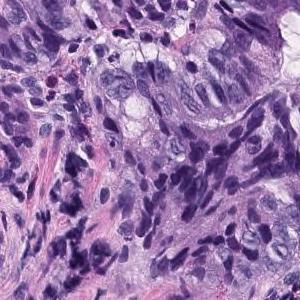
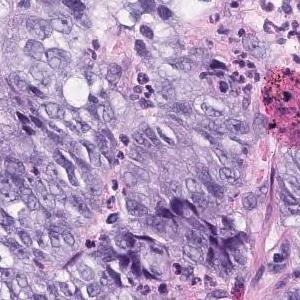
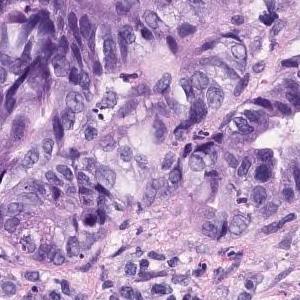
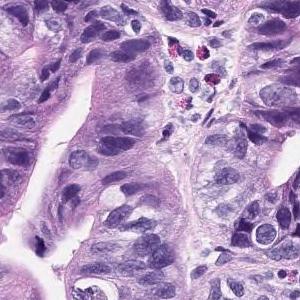
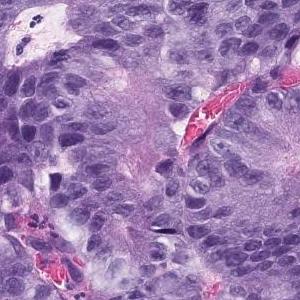
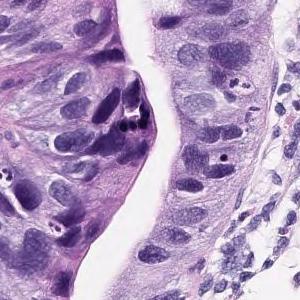
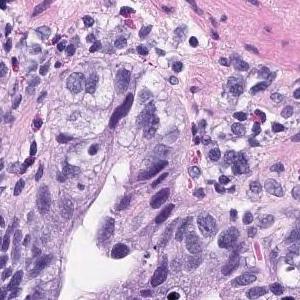
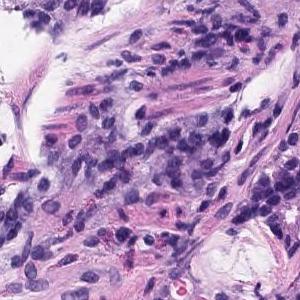
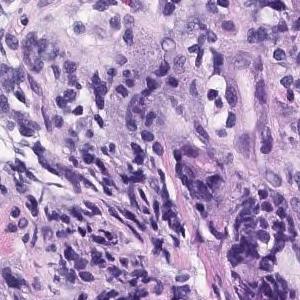
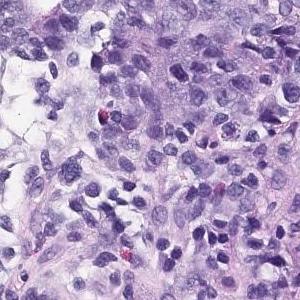
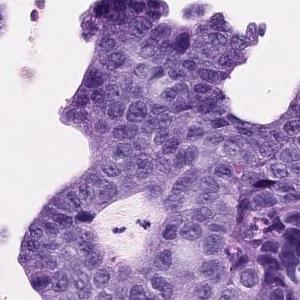
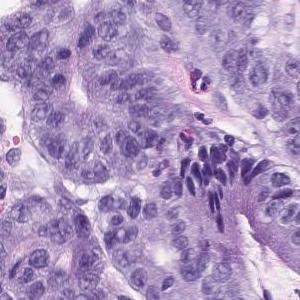
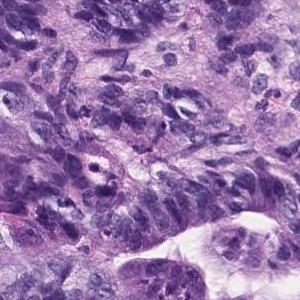
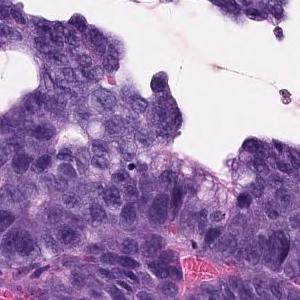
Scanned at ×20 · H&E stain · 14 tiles cut from one stomach biopsy slide · each 300 × 300 pixels.
The pathologist's report on the biopsy slide these tiles were taken from. What the report and the diagnosis say applies to the whole slide; these tiles may miss some of the features named and may include tissue that is not tumor.
In the superficial epithelium, tumor tissue that invades by forming medium-sized to small, irregular ducts is observed. Well to moderately differentiated tubular adenocarcinoma.
